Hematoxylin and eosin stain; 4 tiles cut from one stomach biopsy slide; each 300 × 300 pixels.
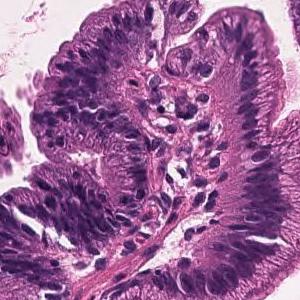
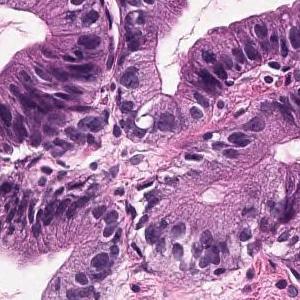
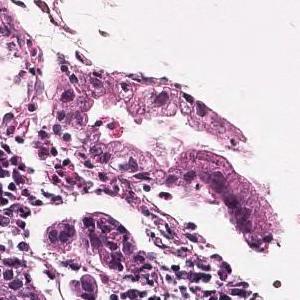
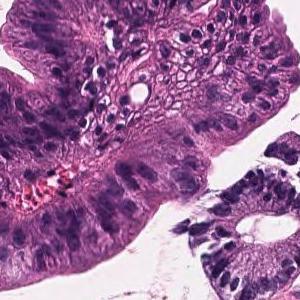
The pathologist's report on the biopsy slide these tiles were taken from. The report describes the whole slide, diagnosis included: not every finding it names need appear in these tiles, which may also show non-tumor tissue.
Tumor tissue that grows invasively while the short atypical epithelium forms small ducts is observed. moderately differentiated tubular adenocarcinoma
